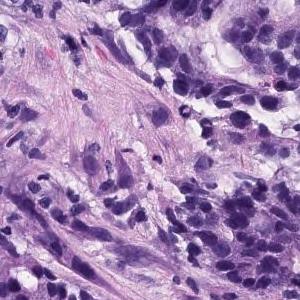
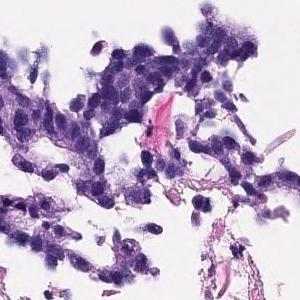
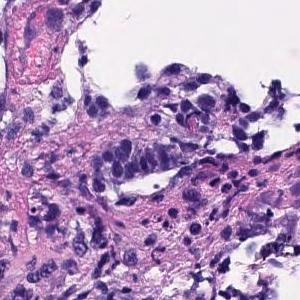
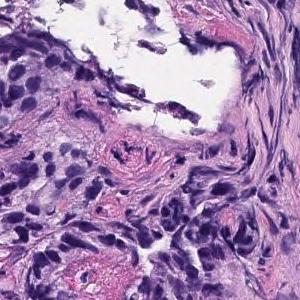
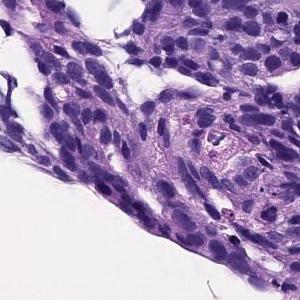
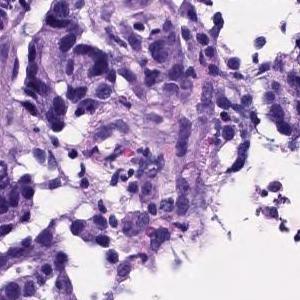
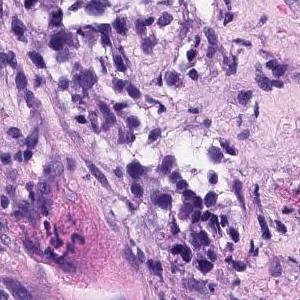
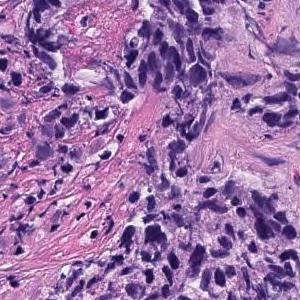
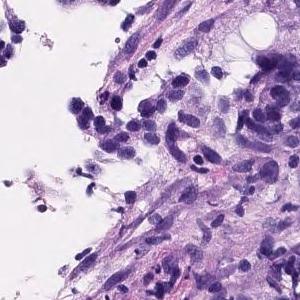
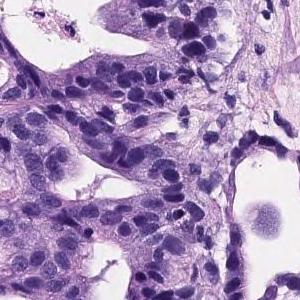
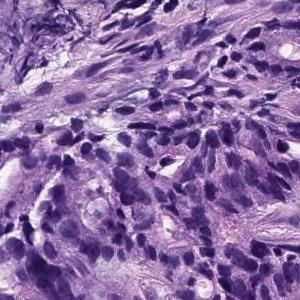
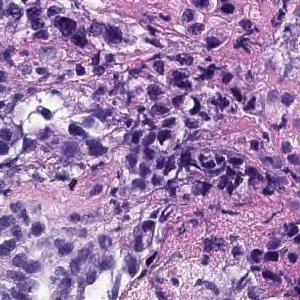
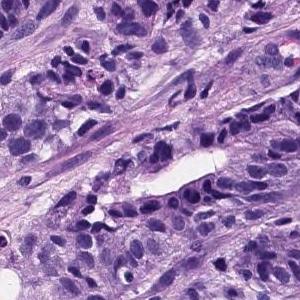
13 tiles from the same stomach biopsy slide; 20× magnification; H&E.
The pathologist's report on the biopsy slide these tiles were taken from. The report describes the whole slide, diagnosis included: not every finding it names need appear in these tiles, which may also show non-tumor tissue.
In the superficial epithelium, tumor tissue that invades by forming medium-sized to small, irregular ducts is observed. Tumor cells are columnar or cuboidal in shape. Moderately differentiated adenocarcinoma.
Subtype: Moderately differentiated tubular adenocarcinoma.
